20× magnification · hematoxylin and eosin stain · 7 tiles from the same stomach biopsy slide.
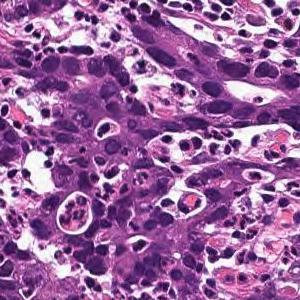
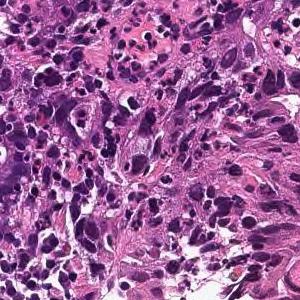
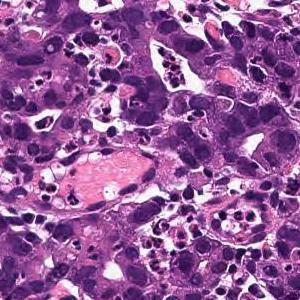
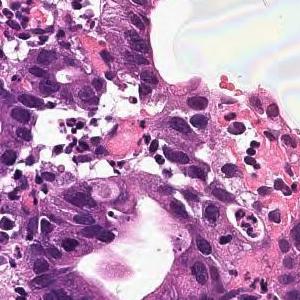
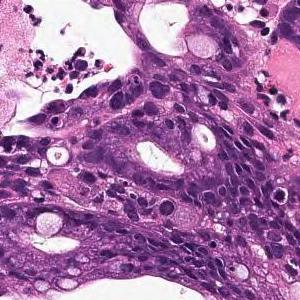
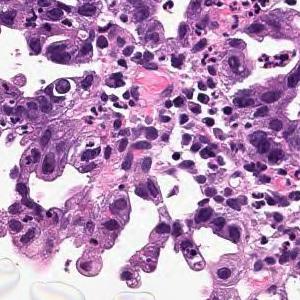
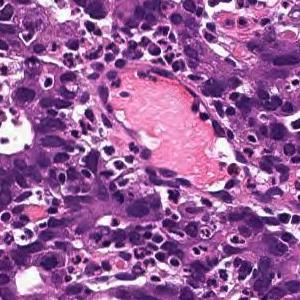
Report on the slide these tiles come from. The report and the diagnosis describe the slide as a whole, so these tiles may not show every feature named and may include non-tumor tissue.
On the superficial epithelium, a tumor tissue consisting of a large, irregular glandular duct partially fused and infiltrating with a small alveolar shape is observed. Well or moderately differentiated tubular adenocarcinoma (well differentiated tubular adenocarcinoma, moderately differentiated tubular adenocarcinoma)
Histological subtype: Well to moderately differentiated tubular adenocarcinoma.
